Scanned at ×20 · H&E · 6 patches cut from one gastric biopsy slide · 300 × 300 pixels each.
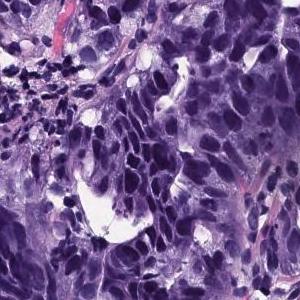
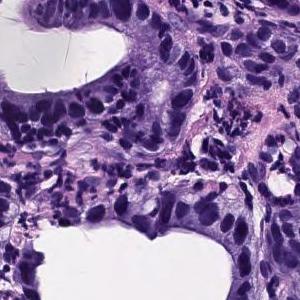
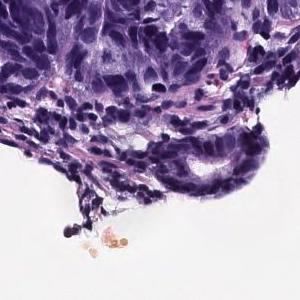
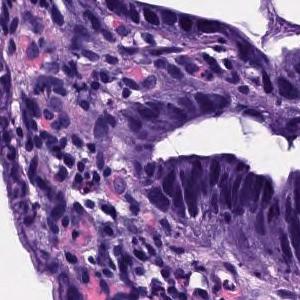
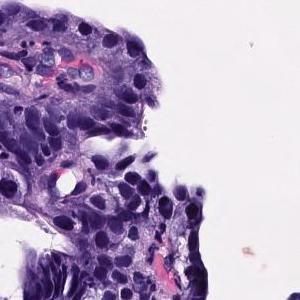
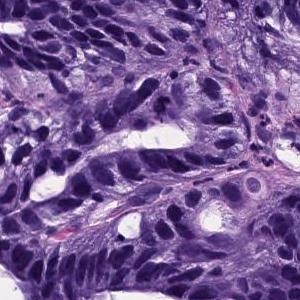
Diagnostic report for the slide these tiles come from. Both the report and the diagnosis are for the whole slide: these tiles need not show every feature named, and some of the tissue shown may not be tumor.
Large atypical cells which form medium to large ducts are proliferating. Well differentiated adenocarcinoma (well differentiated tubular adenocarcinoma)
Subtype: Well differentiated tubular adenocarcinoma.
